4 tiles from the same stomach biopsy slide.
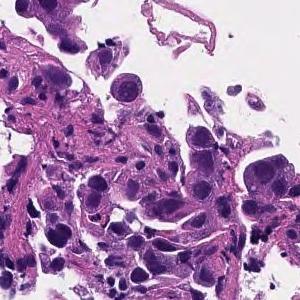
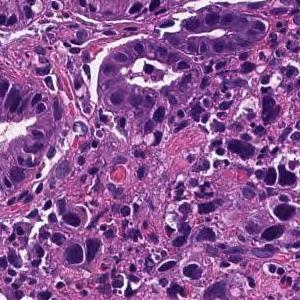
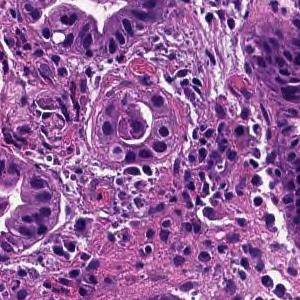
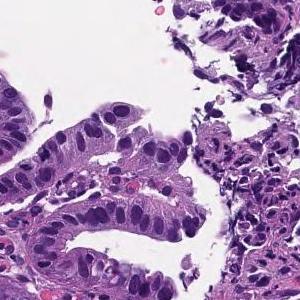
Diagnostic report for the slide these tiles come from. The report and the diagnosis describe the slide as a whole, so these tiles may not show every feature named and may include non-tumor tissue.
Tumor tissue consisting of medium-sized, cord-like or irregular glandular infiltration is observed in the superficial epithelium. Poorly differentiated adenocarcinoma, non-solid type or moderately differentiated tubular adenocarcinoma
Tumor subtype: moderately to poorly differentiated adenocarcinoma.
"Non-solid type" is a category of the Japanese Classification of Gastric Carcinoma.
